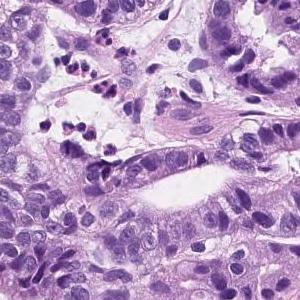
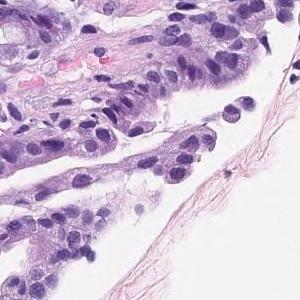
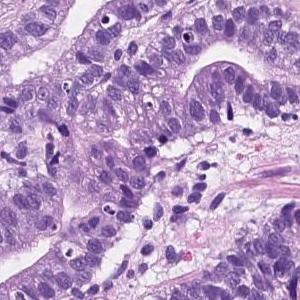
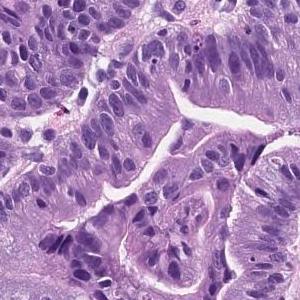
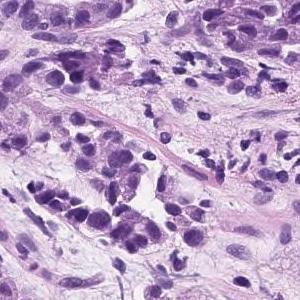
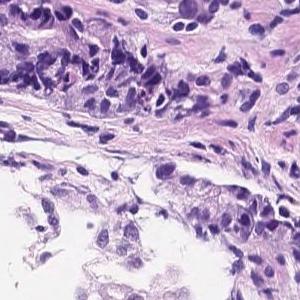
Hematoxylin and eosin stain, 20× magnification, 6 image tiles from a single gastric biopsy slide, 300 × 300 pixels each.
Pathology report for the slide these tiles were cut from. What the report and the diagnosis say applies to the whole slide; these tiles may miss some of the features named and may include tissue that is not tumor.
Tumor tissue consisting of medium-sized and irregular ducts is observed infiltrating in the superficial epithelium. Tumor cells are highly columnar, with nuclei aligned basolaterally and polarized. Well differentiated tubular adenocarcinoma.
